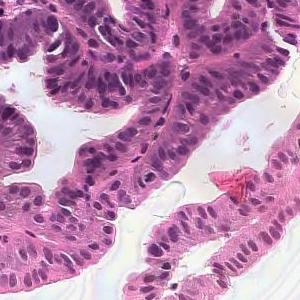
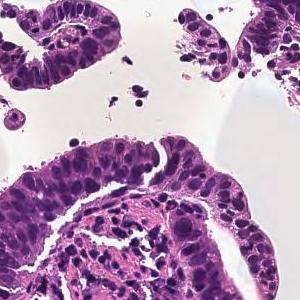
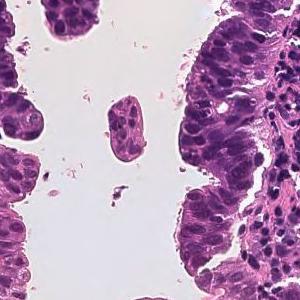
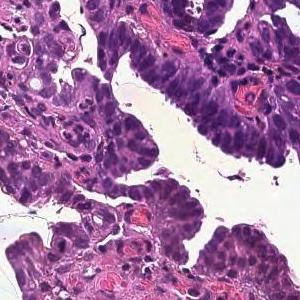
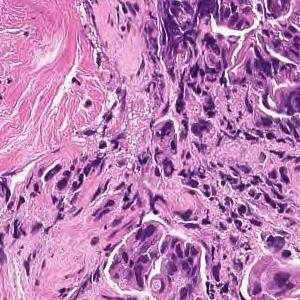
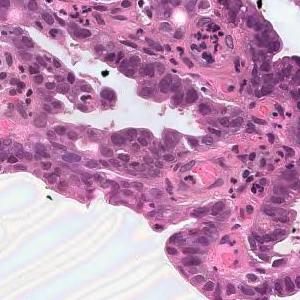
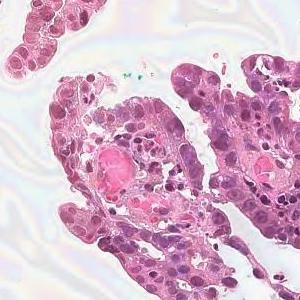
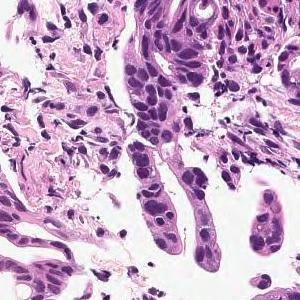
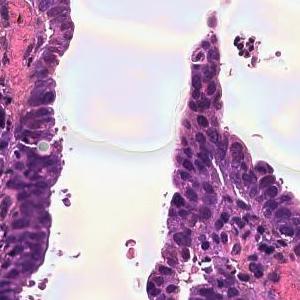
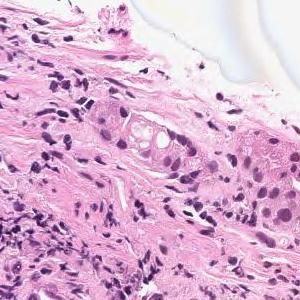
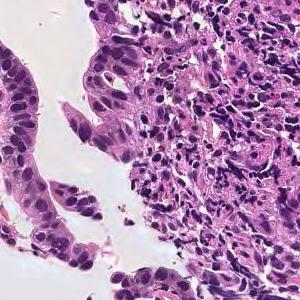
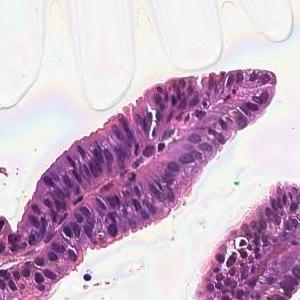
12 tiles from the same stomach biopsy slide, H&E stain.
Pathology report for the biopsy slide these tiles were cut from. Both the report and the diagnosis are for the whole slide: these tiles need not show every feature named, and some of the tissue shown may not be tumor.
From the superficial epithelium to the muscularis mucosae, tumor tissue consisting of medium-sized and irregular glandular ducts infiltrating is observed. Well differentiated tubular adenocarcinoma
